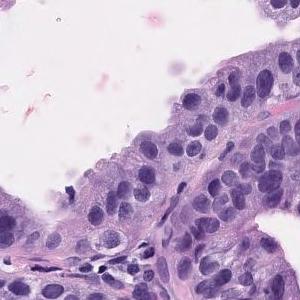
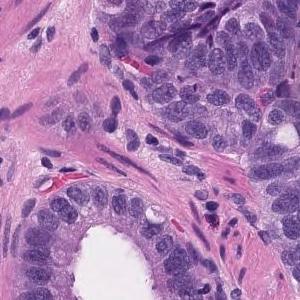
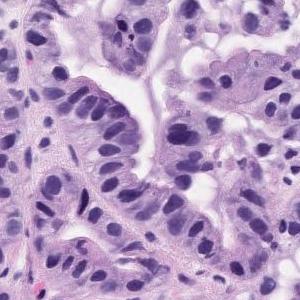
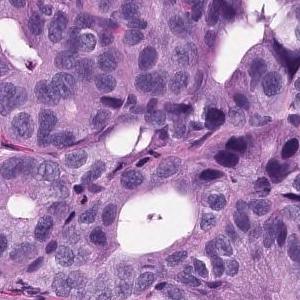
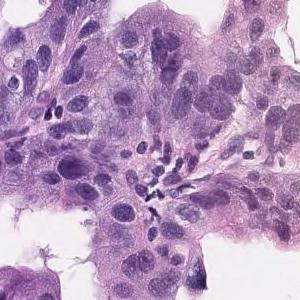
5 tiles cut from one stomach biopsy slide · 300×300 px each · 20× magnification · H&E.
Diagnostic report for the slide these tiles come from. The report describes the whole slide, diagnosis included: not every finding it names need appear in these tiles, which may also show non-tumor tissue.
Tumor tissue consisting of medium-sized and irregular ducts is observed infiltrating in the superficial epithelium. Tumor cells are highly columnar, with nuclei aligned basolaterally and polarized. Well differentiated tubular adenocarcinoma.
